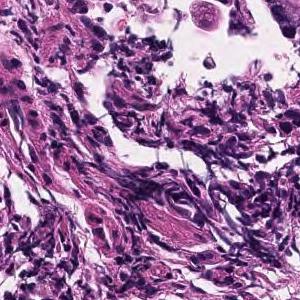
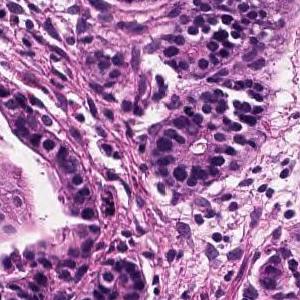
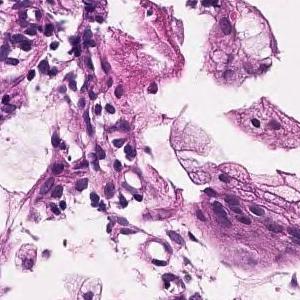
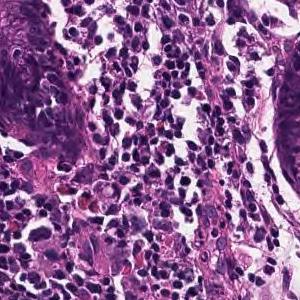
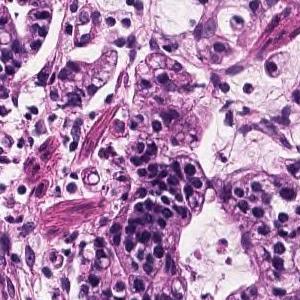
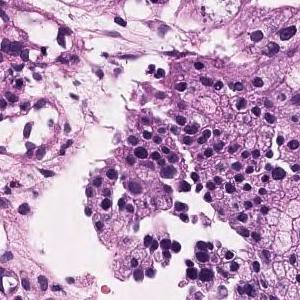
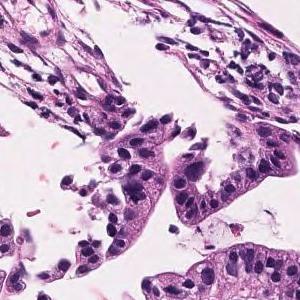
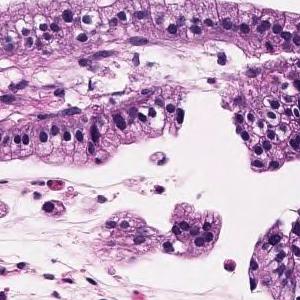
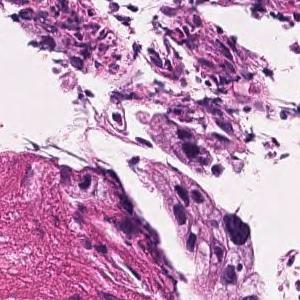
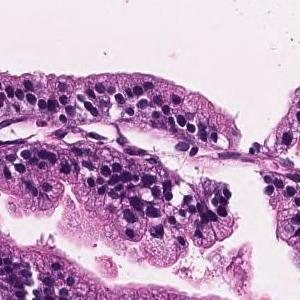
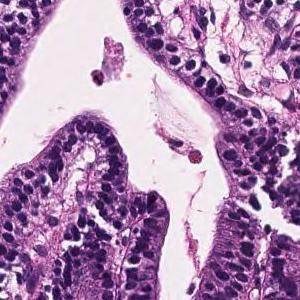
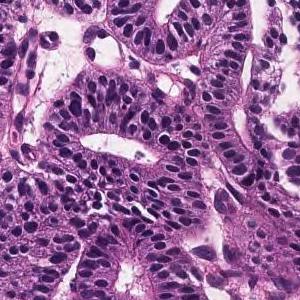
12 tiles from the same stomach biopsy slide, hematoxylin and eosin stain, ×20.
Pathology report for the biopsy slide these tiles were cut from. The findings and the diagnosis refer to the entire slide; these tiles show only part of it, possibly with non-tumor tissue, and may not show every feature named.
Tumor tissue consisting of large papillary structures or irregular glandular ducts partially fused and infiltrated is observed in the superficial epithelium. Well to moderately differentiated tubular adenocarcinoma.
Dataset label: moderately differentiated tubular adenocarcinoma.
